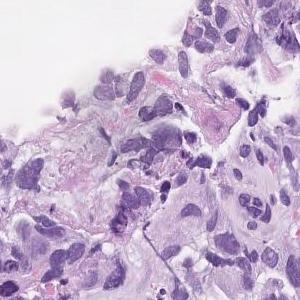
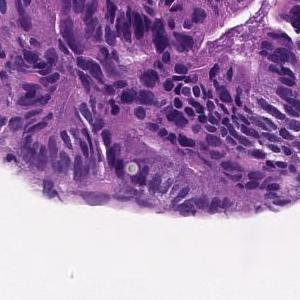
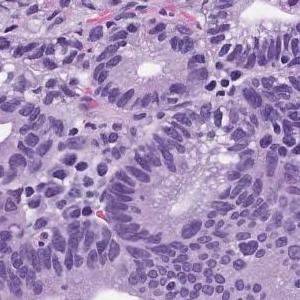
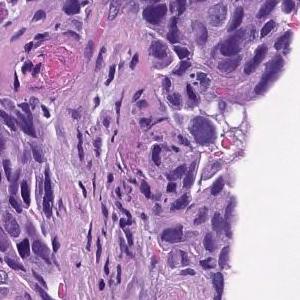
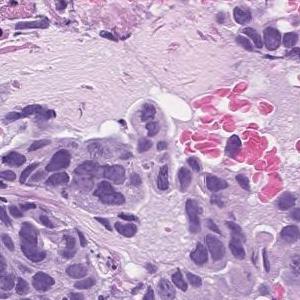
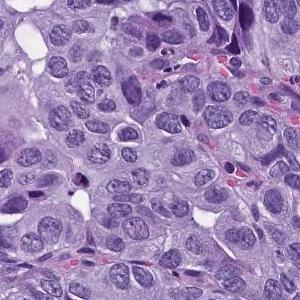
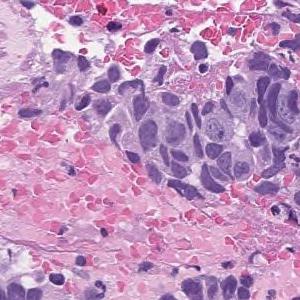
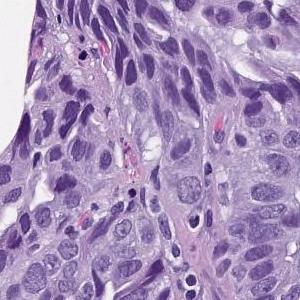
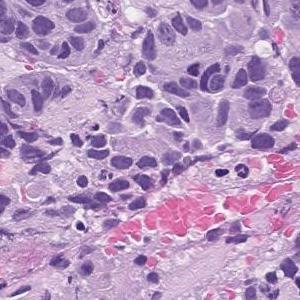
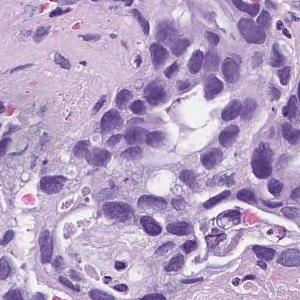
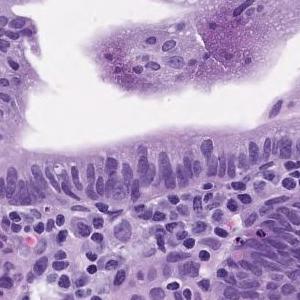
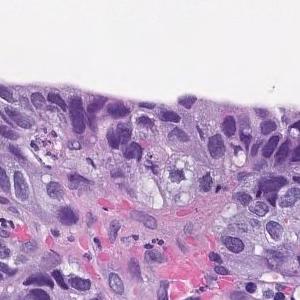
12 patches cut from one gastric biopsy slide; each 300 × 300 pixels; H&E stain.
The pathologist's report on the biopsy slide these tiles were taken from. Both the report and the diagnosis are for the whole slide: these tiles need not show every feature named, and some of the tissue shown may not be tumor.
In the superficial epithelium, tumor tissue that invades by forming medium-sized to small, irregular ducts is observed. moderately differentiated tubular adenocarcinoma.
